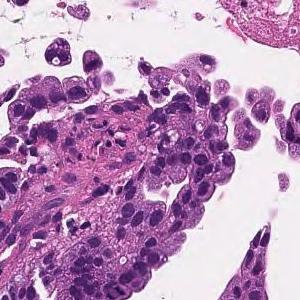
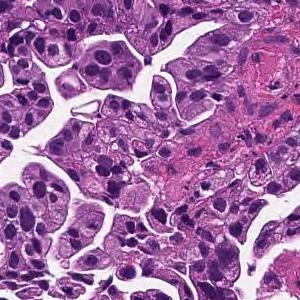
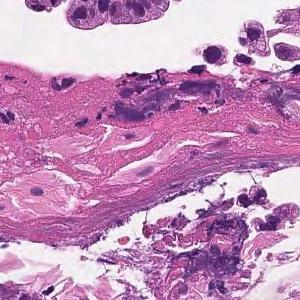
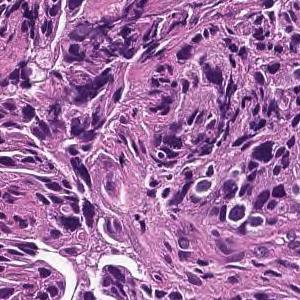
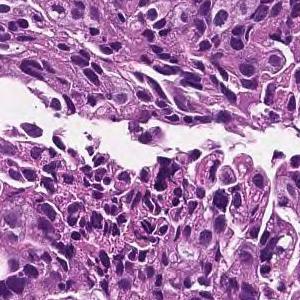
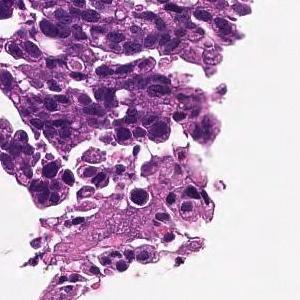
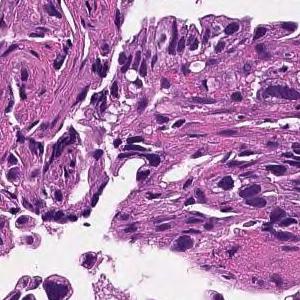
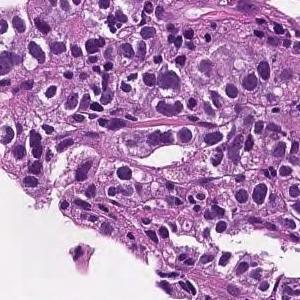
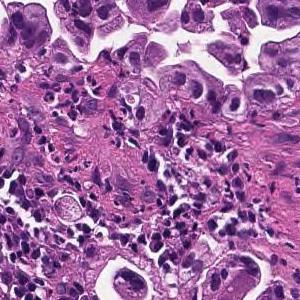
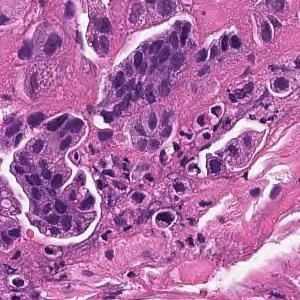
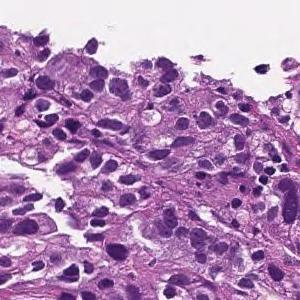
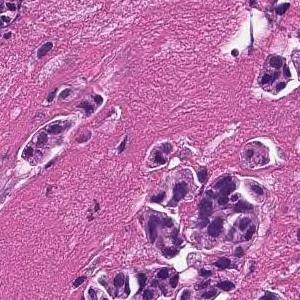
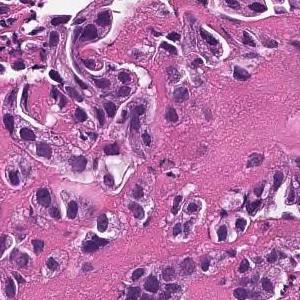
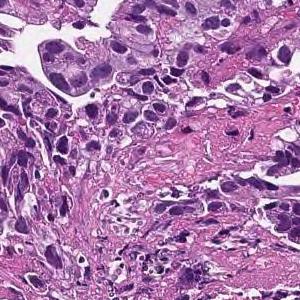
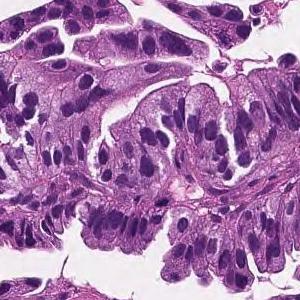
15 patches cut from one gastric biopsy slide · 300×300 px each · scanned at ×20 · hematoxylin and eosin stain.
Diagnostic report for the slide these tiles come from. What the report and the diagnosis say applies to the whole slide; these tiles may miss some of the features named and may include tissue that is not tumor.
Medium to small, irregular glandular ducts are formed in the superficial epithelium, and in some cases, the glandular ducts are fused to show solid alveolar lesions and infiltrating tumor tissue is observed. Moderately to poorly differentiated adenocarcinoma.
